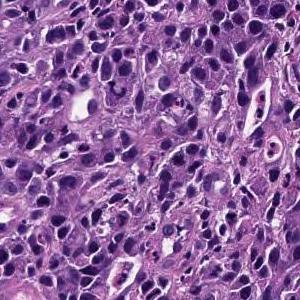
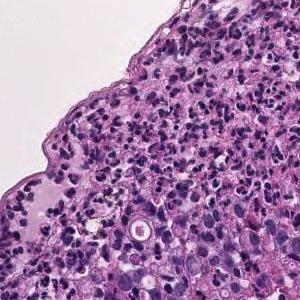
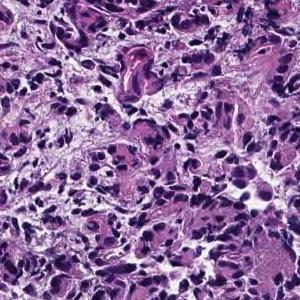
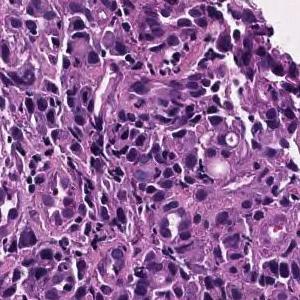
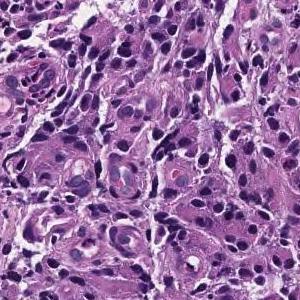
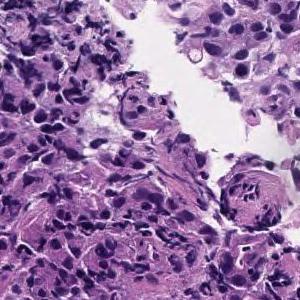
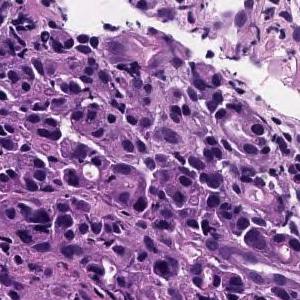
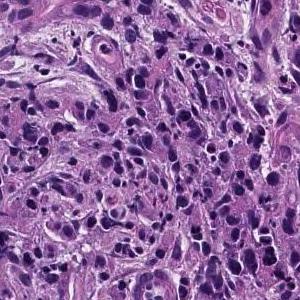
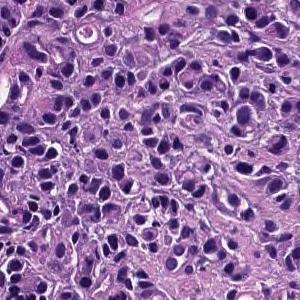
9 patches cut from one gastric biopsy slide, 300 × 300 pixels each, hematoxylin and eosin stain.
Report on the slide these tiles come from. The findings and the diagnosis refer to the entire slide; these tiles show only part of it, possibly with non-tumor tissue, and may not show every feature named.
The superficial epithelium shows a large sheet-like shape, and some tumor tissue infiltrates with small irregular ducts. Poorly differentiated adenocarcinoma, solid-type
Histological subtype: Poorly differentiated adenocarcinoma, solid type, a category of the Japanese Classification of Gastric Carcinoma; in the WHO 2019 classification it is tubular adenocarcinoma, poorly differentiated.
